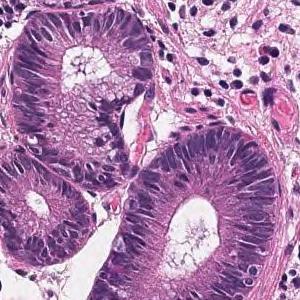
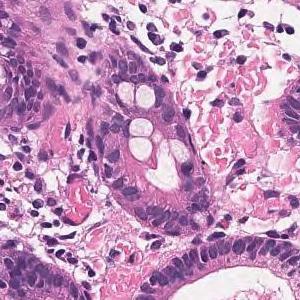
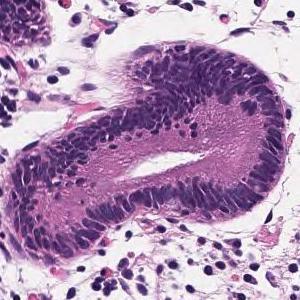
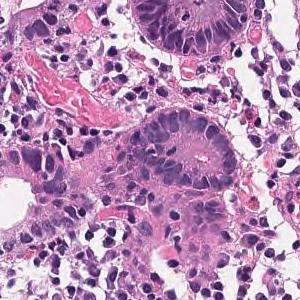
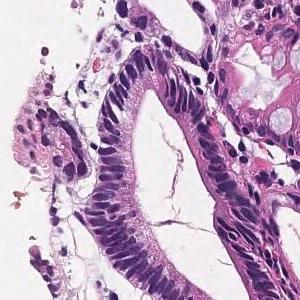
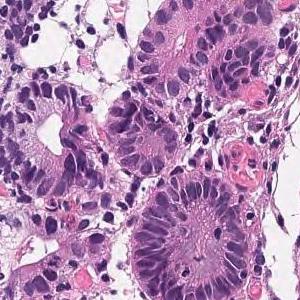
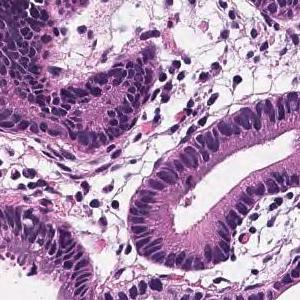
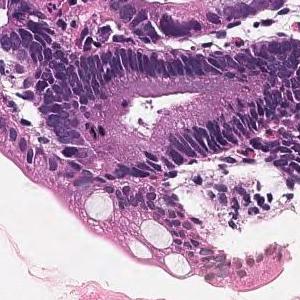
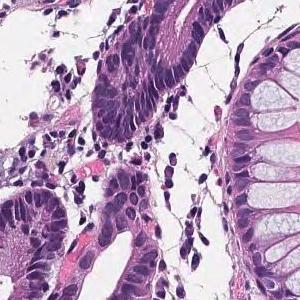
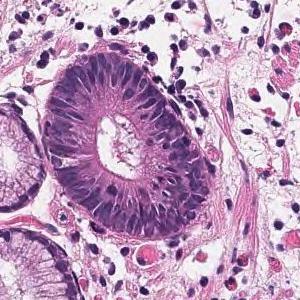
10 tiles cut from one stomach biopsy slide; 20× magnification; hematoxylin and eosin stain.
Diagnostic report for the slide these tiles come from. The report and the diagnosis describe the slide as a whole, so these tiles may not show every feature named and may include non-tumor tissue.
Tumor tissue in which medium to small irregular ducts infiltrate and proliferate in the submucosa can be seen in the epithelium. Well differentiated tubular adenocarcinoma
